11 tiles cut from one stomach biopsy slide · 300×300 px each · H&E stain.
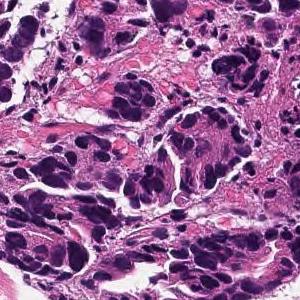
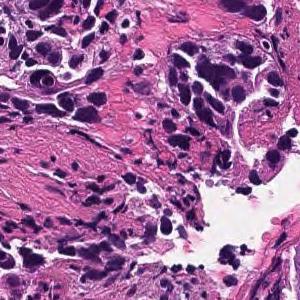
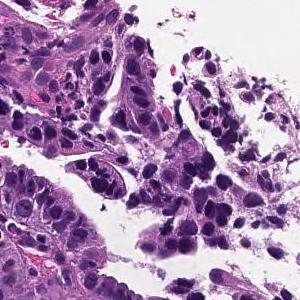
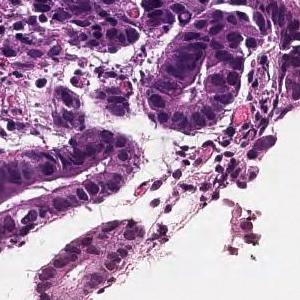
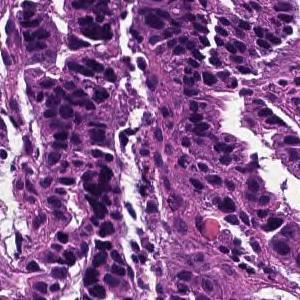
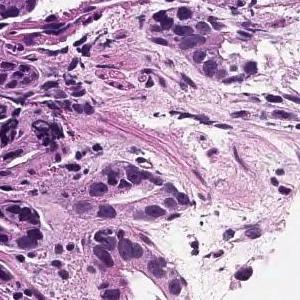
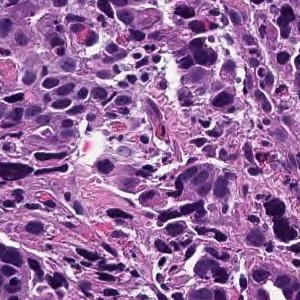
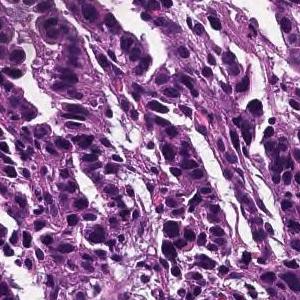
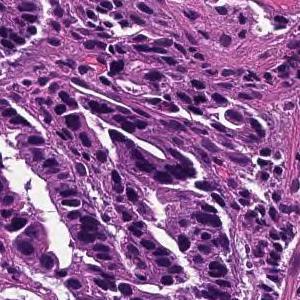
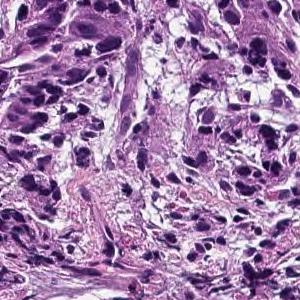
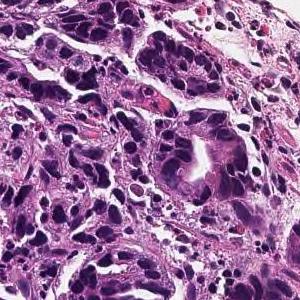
Pathology report for the slide these tiles were cut from. The report and the diagnosis describe the slide as a whole, so these tiles may not show every feature named and may include non-tumor tissue.
In the superficial epithelium, tumor tissue that invades by forming medium-sized to small, irregular ducts is observed. moderately differentiated tubular adenocarcinoma.
